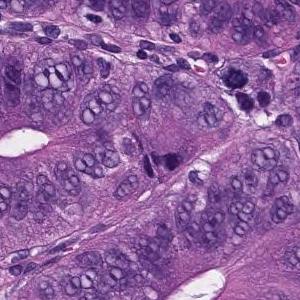
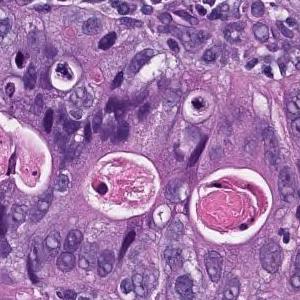
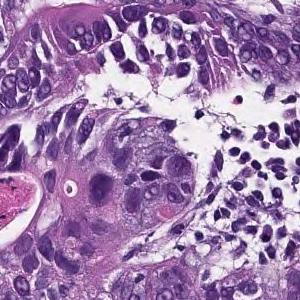
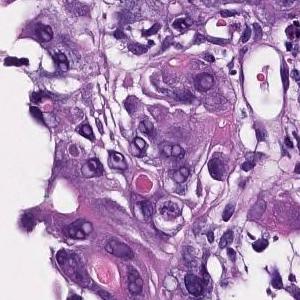
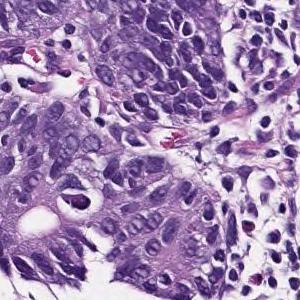
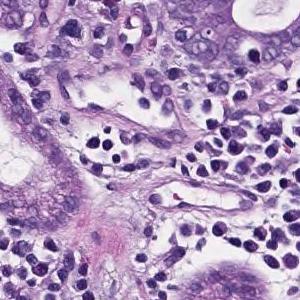
20× magnification; 6 patches cut from one gastric biopsy slide.
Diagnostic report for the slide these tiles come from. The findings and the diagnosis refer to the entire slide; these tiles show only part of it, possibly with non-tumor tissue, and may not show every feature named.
In the superficial epithelium, tumor tissue that invades by forming medium-sized to small, irregular ducts is observed. moderately differentiated tubular adenocarcinoma.
